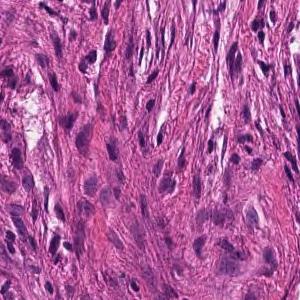
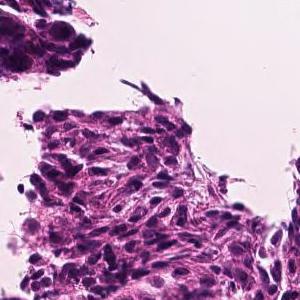
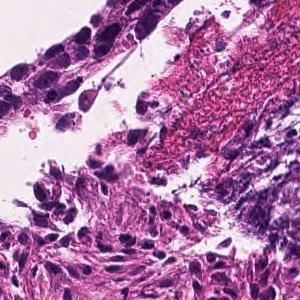
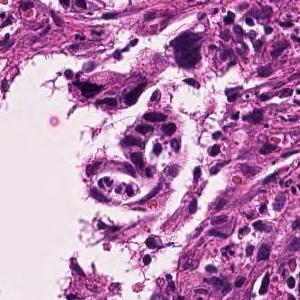
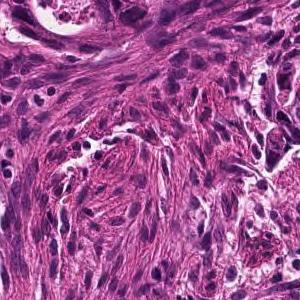
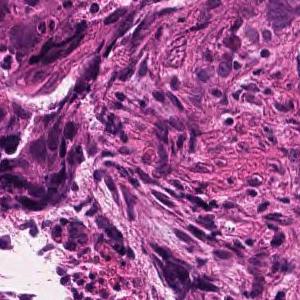
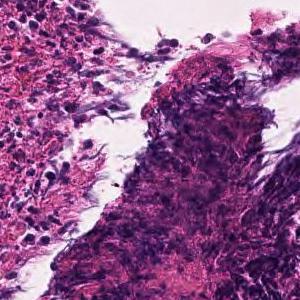
7 patches cut from one gastric biopsy slide, 300×300 px each, 20× magnification, hematoxylin and eosin stain.
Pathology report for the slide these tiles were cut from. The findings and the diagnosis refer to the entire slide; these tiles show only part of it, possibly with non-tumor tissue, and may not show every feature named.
In the superficial epithelium, tumor tissue that invades by forming medium-sized to small, irregular ducts is observed. moderately differentiated tubular adenocarcinoma.
